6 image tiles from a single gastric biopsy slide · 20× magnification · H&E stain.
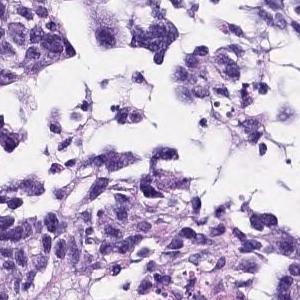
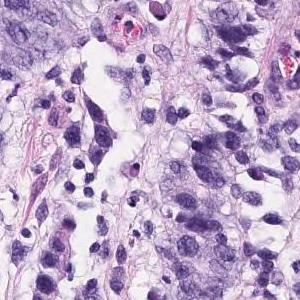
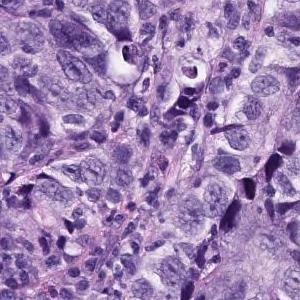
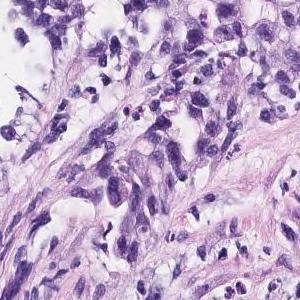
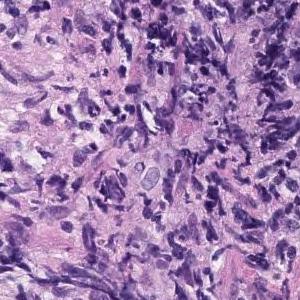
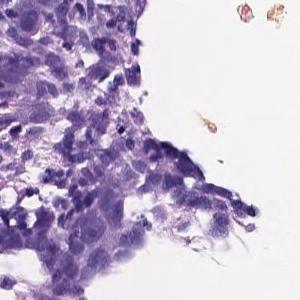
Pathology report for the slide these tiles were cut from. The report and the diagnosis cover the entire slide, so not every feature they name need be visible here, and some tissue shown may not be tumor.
The superficial epithelium shows a large sheet-like shape, and some tumor tissue infiltrates with small irregular ducts. Poorly differentiated adenocarcinoma, solid-type
Classified as poorly differentiated adenocarcinoma, solid type (Japanese Classification of Gastric Carcinoma). The WHO 2019 equivalent is tubular adenocarcinoma, poorly differentiated.
